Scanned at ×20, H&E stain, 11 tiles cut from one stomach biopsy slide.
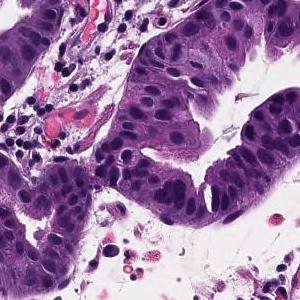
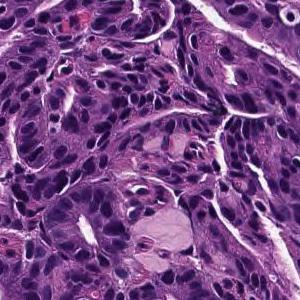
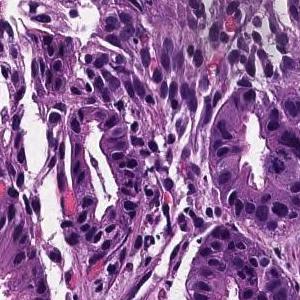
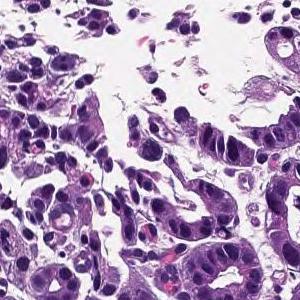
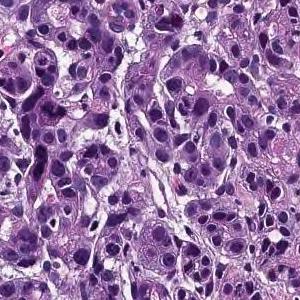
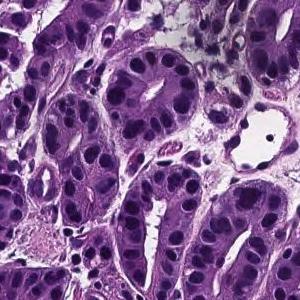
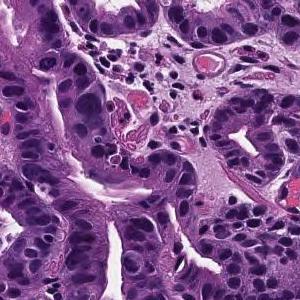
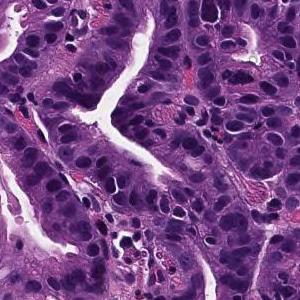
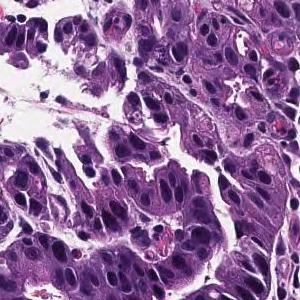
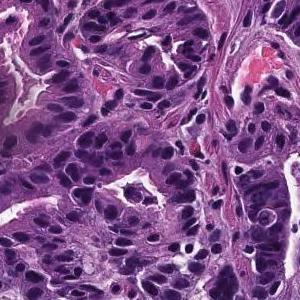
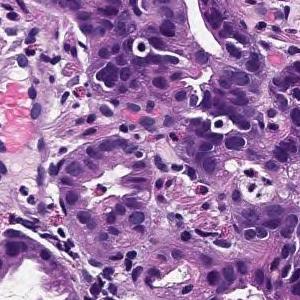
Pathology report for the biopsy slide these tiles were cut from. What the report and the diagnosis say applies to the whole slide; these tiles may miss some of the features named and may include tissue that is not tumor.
From the superficial epithelium to the muscularis mucosae, tumor tissue consisting of medium-sized and irregular glandular ducts infiltrating is observed. Well differentiated tubular adenocarcinoma
